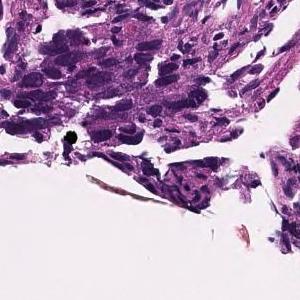
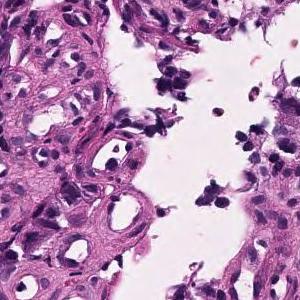
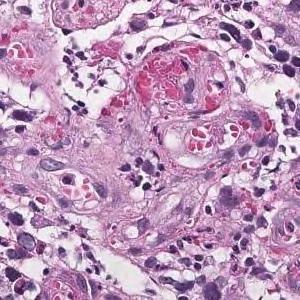
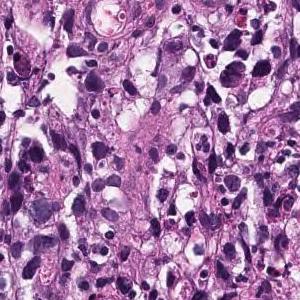
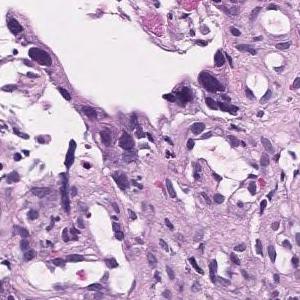
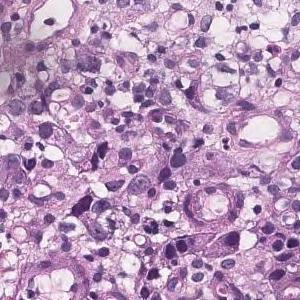
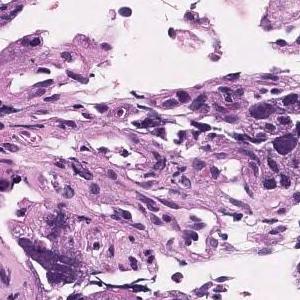
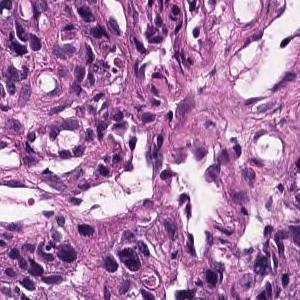
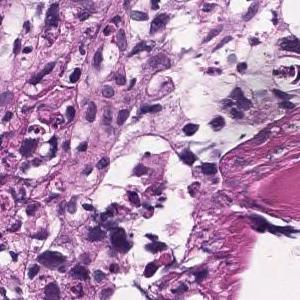
Scanned at ×20, H&E stain, 9 image tiles from a single gastric biopsy slide.
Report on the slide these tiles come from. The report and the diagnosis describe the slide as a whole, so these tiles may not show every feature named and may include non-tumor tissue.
Tumor tissue consisting of medium-sized, cord-like or irregular glandular infiltration is observed in the superficial epithelium. Poorly differentiated adenocarcinoma, non-solid type or moderately differentiated tubular adenocarcinoma
The term "non-solid type" comes from the Japanese Classification of Gastric Carcinoma.
